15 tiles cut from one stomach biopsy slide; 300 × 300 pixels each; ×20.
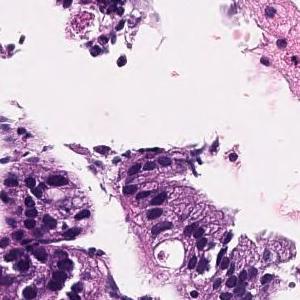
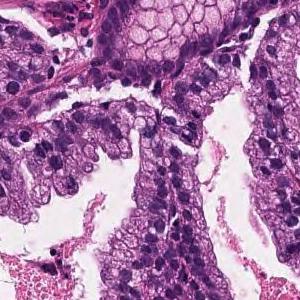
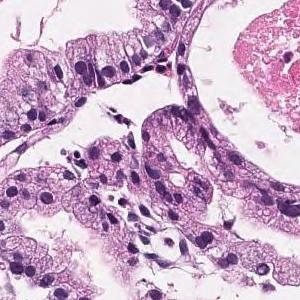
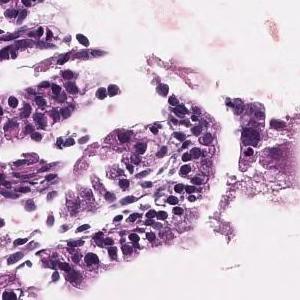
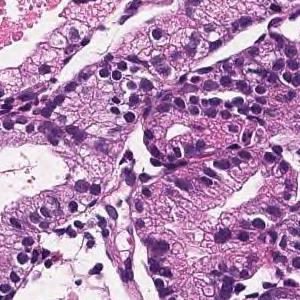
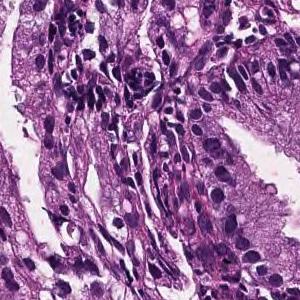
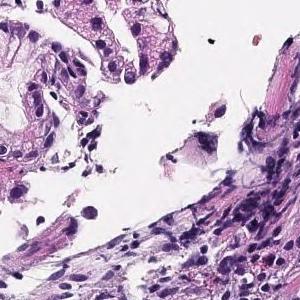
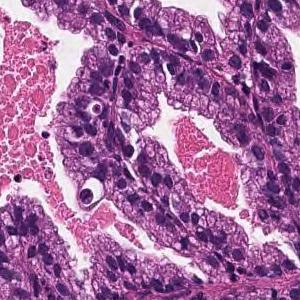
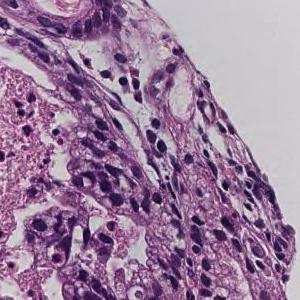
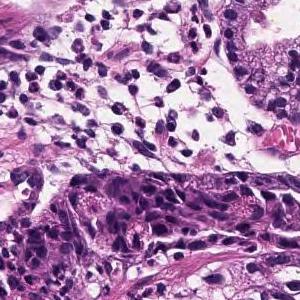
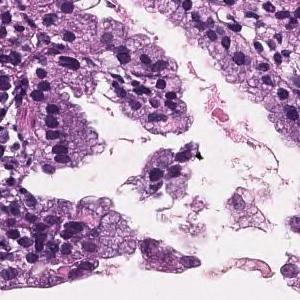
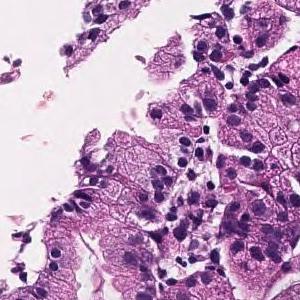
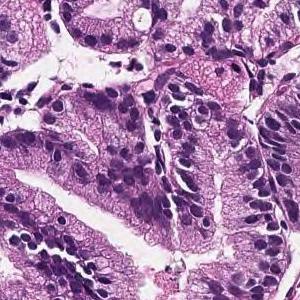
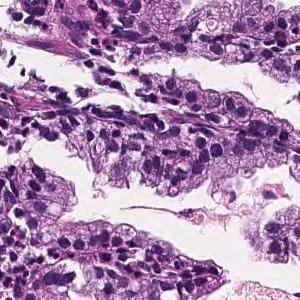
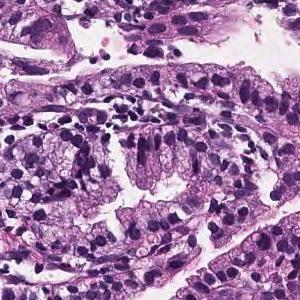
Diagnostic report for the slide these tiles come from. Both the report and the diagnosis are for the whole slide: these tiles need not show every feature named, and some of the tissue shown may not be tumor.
In the superficial epithelium, tumor tissue that infiltrates by forming medium-sized papillary or small irregular ducts is observed. Papillary adenocarcinoma
